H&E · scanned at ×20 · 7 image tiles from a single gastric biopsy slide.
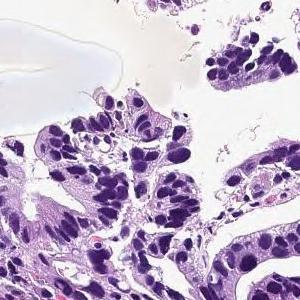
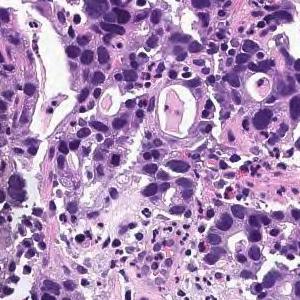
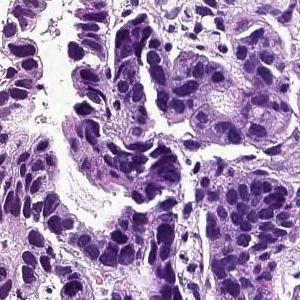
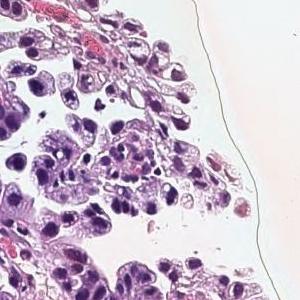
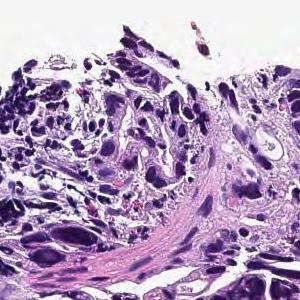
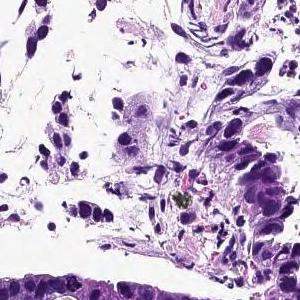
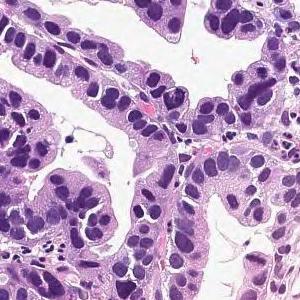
Pathology report for the biopsy slide these tiles were cut from. The report and the diagnosis describe the slide as a whole, so these tiles may not show every feature named and may include non-tumor tissue.
On the superficial epithelium, tumor tissue consisting of large irregular glandular ducts partially fused and infiltrated is observed. Well to moderately differentiated tubular adenocarcinoma (well differentiated tubular adenocarcinoma, moderately differentiated tubular adenocarcinoma)
Tumor subtype: well to moderately differentiated tubular adenocarcinoma.
